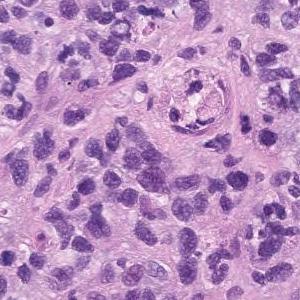
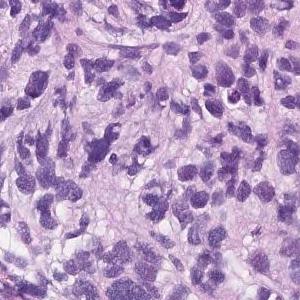
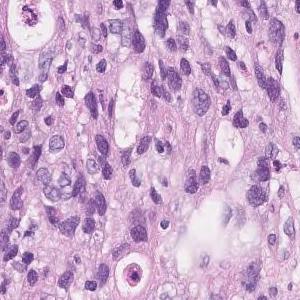
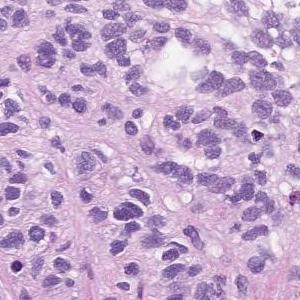
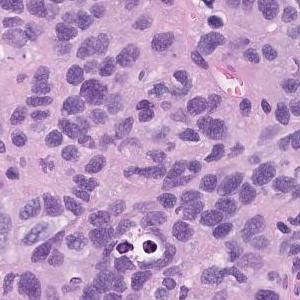
5 patches cut from one gastric biopsy slide, 300×300 px each, hematoxylin and eosin stain, ×20.
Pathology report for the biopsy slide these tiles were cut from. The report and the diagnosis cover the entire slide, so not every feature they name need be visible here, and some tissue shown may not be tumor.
Atypical l cells with atypical nuclei under the mucosa growing in isolation and scattered. Poorly differentiated adenocarcinoma (poorly differentiated adenocarcinoma, non-solid type)
Subtype: Poorly differentiated adenocarcinoma, non-solid type.
The term "non-solid type" comes from the Japanese Classification of Gastric Carcinoma.
